8 tiles cut from one stomach biopsy slide; 300 × 300 pixels each; hematoxylin and eosin stain; scanned at ×20.
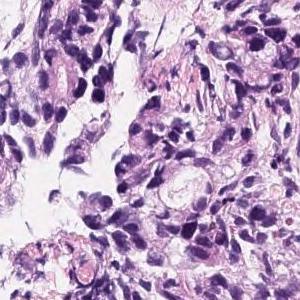
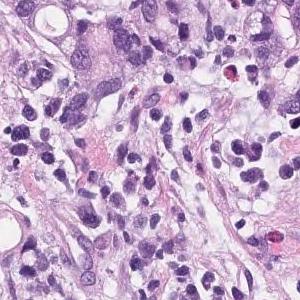
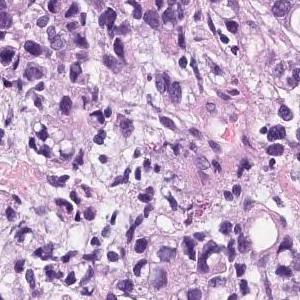
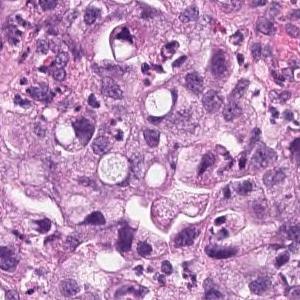
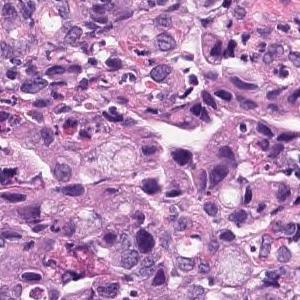
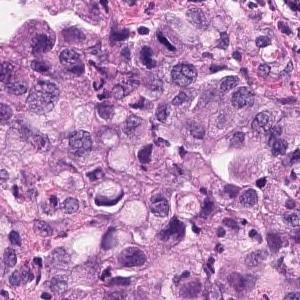
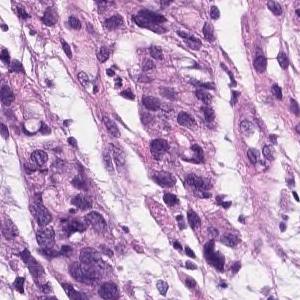
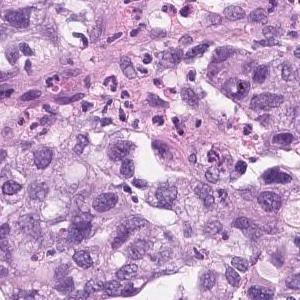
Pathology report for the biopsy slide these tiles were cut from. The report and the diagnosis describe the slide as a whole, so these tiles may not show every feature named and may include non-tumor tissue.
Group 5, Adenocarcinoma. Poorly differentiated adenocarcinoma, non-solid type
The non-solid type named here is a Japanese Classification of Gastric Carcinoma category.
